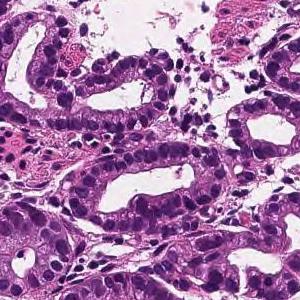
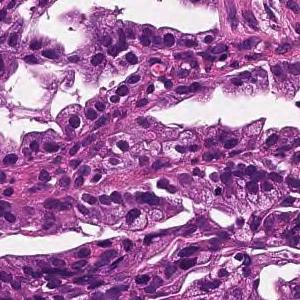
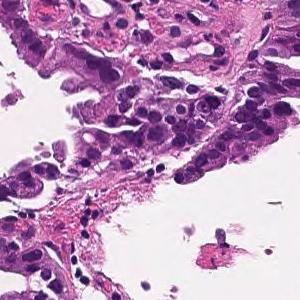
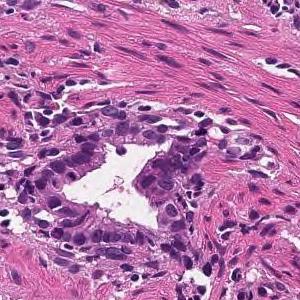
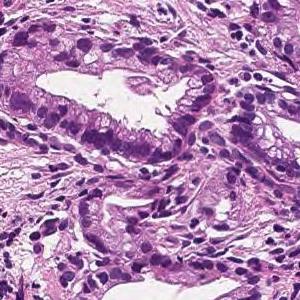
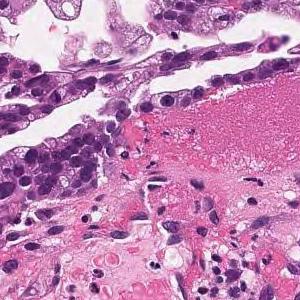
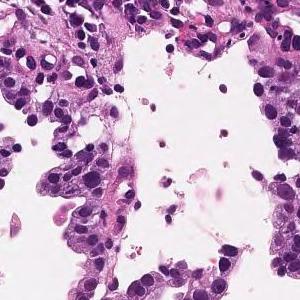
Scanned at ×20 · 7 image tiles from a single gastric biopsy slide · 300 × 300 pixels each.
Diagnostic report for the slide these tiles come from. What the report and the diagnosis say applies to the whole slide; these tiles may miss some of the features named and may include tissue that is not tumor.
On the superficial epithelium, tumor tissue that infiltrates by forming medium-sized papillary or small irregular ducts is observed. Papillary adenocarcinoma
